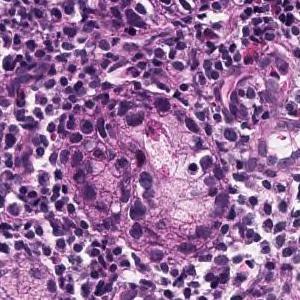
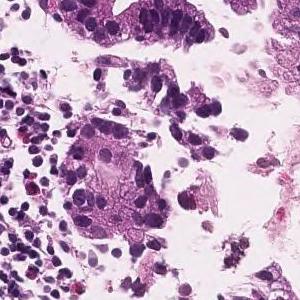
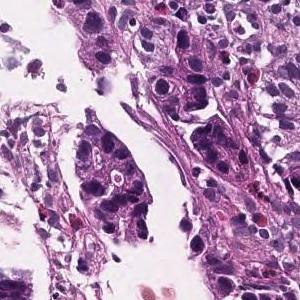
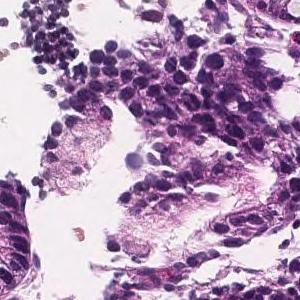
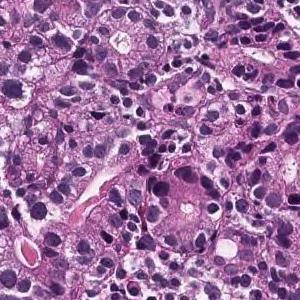
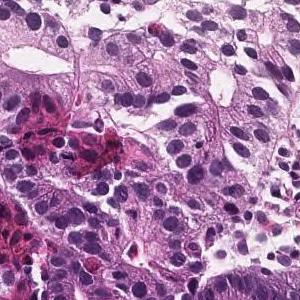
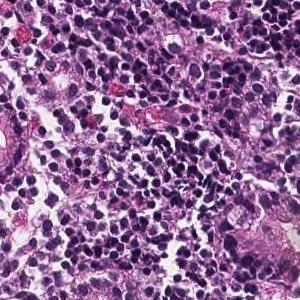
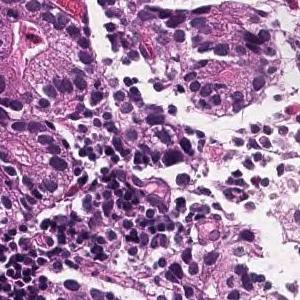
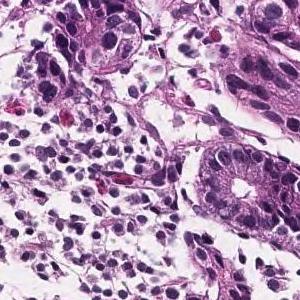
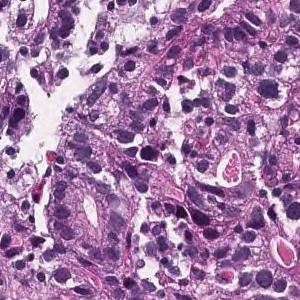
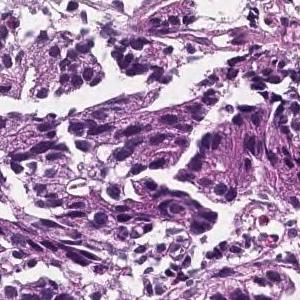
11 image tiles from a single gastric biopsy slide; each 300 × 300 pixels; H&E stain; ×20.
Pathology report for the biopsy slide these tiles were cut from. What the report and the diagnosis say applies to the whole slide; these tiles may miss some of the features named and may include tissue that is not tumor.
Tumor tissue that forms medium-sized, irregular glandular ducts and is papillary and proliferate is observed confined to the mucosal epithelium. moderately differentiated tubular adenocarcinoma.
